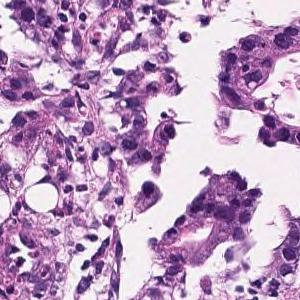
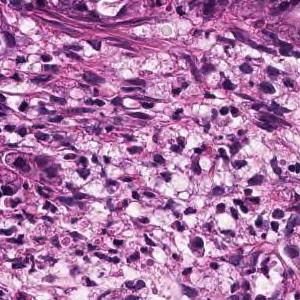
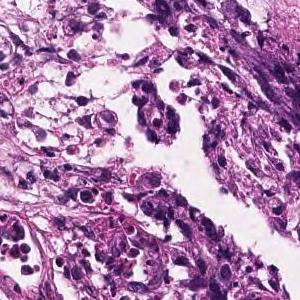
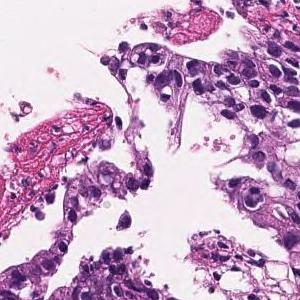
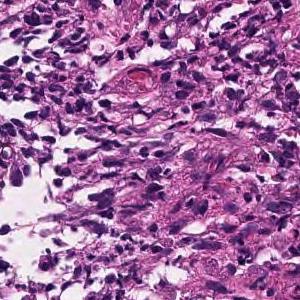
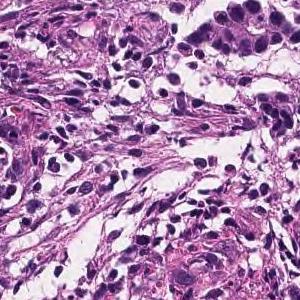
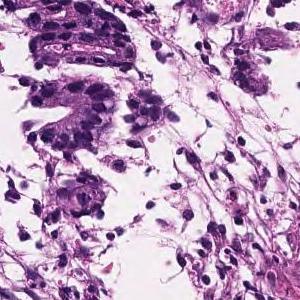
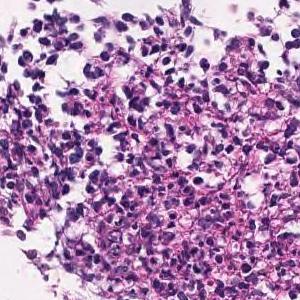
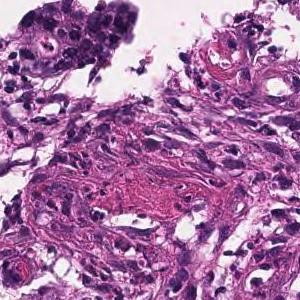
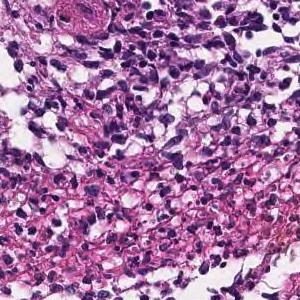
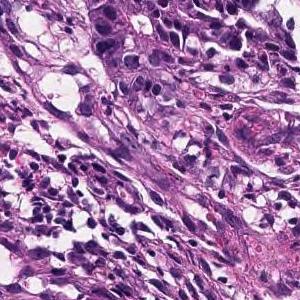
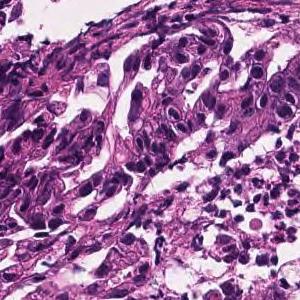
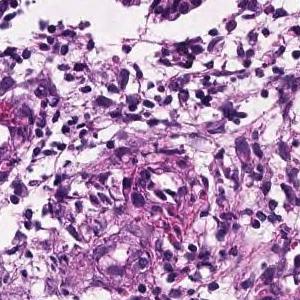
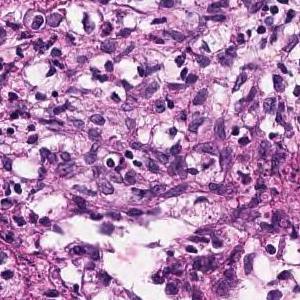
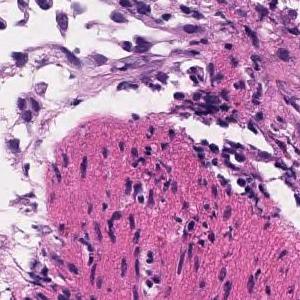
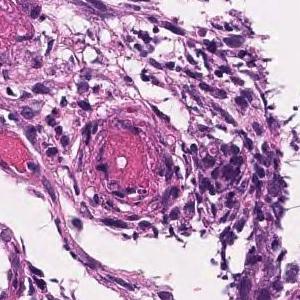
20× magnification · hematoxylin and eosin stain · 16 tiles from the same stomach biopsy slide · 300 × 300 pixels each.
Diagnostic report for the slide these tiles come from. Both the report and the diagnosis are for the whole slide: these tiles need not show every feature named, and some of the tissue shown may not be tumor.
In the superficial epithelium, medium to small, irregular gland ducts are formed, and in some cases, the gland ducts are fused to show solid alveolar lesions and infiltrating tumor tissue is observed. Moderately to poorly differentiated adenocarcinoma.
